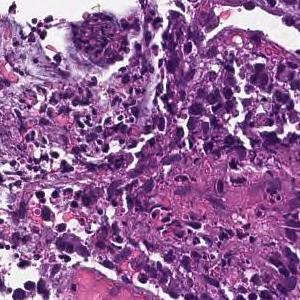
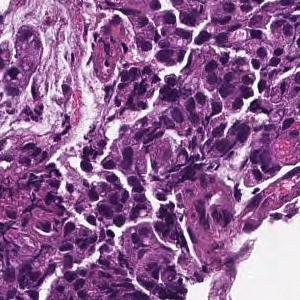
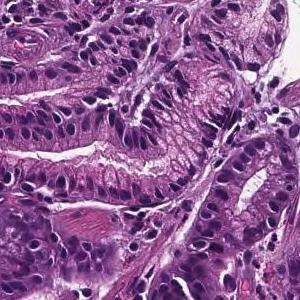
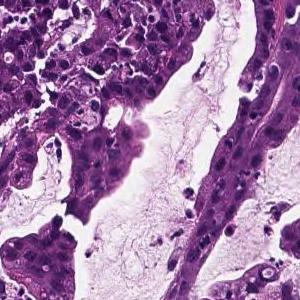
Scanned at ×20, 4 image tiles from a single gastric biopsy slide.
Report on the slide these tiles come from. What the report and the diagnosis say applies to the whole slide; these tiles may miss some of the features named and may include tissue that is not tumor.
On the superficial epithelium, tumor tissue consisting of large irregular glandular ducts partially fused and infiltrated is observed. Well to moderately differentiated tubular adenocarcinoma (well differentiated tubular adenocarcinoma, moderately differentiated tubular adenocarcinoma)
Tumor subtype: well to moderately differentiated tubular adenocarcinoma.
